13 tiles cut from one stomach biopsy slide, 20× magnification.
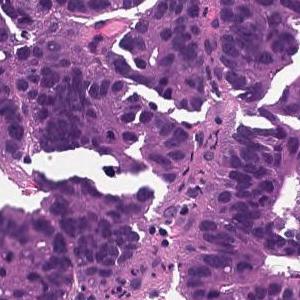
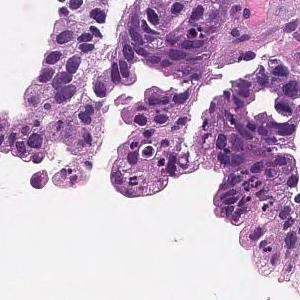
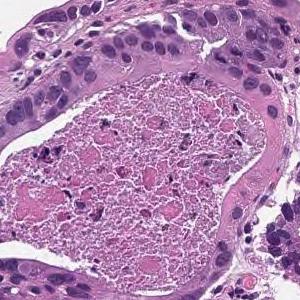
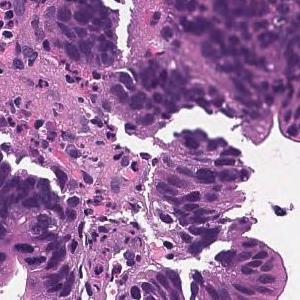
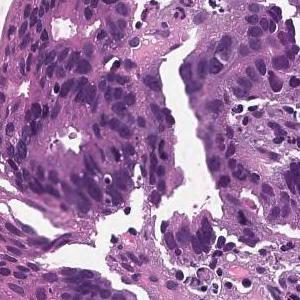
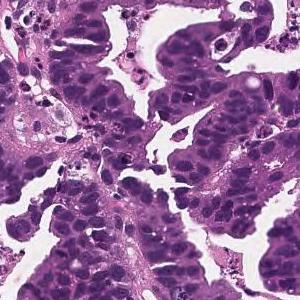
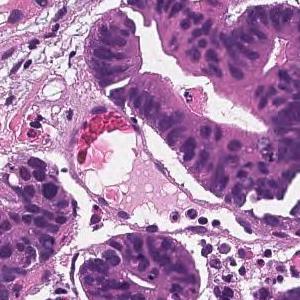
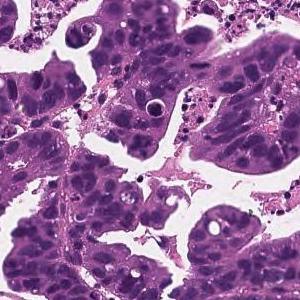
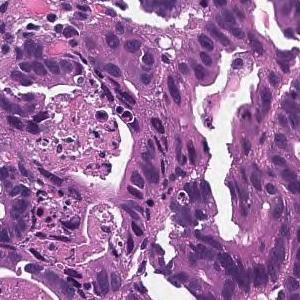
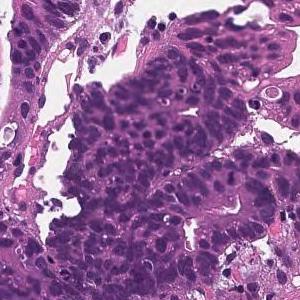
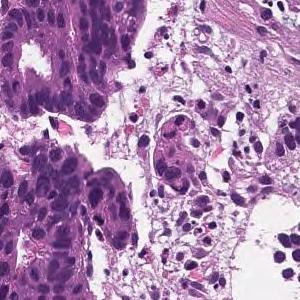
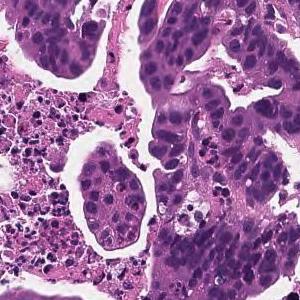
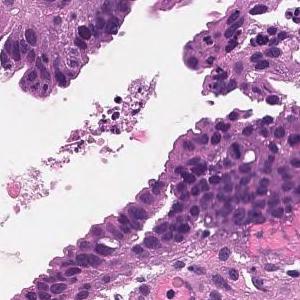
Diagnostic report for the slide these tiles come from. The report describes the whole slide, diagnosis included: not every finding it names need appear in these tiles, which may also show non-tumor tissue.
In the superficial epithelium, tumor tissue that invades by forming medium-sized to small, irregular ducts is observed. moderately differentiated tubular adenocarcinoma.
